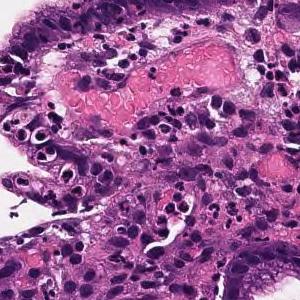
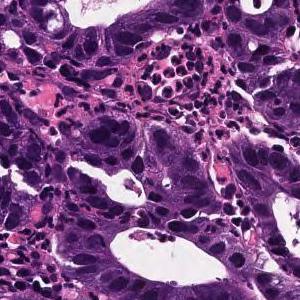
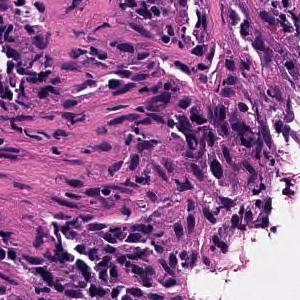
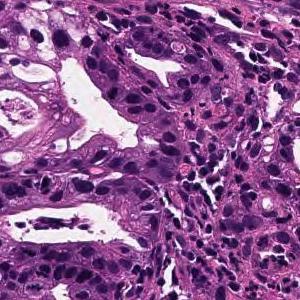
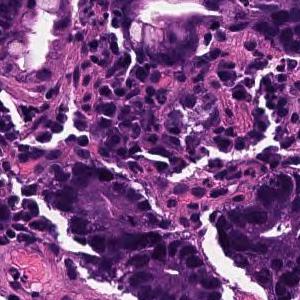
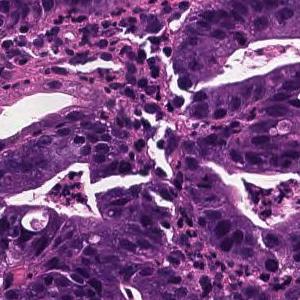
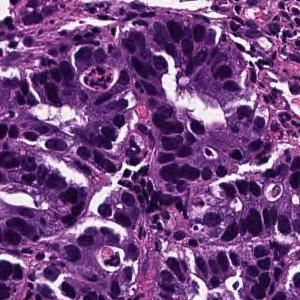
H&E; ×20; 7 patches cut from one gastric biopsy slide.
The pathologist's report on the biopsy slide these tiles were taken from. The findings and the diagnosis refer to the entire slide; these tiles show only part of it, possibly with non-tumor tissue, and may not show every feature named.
From the superficial epithelium to the muscularis mucosae, tumor tissue consisting of medium-sized and irregular glandular ducts infiltrating is observed. Well differentiated tubular adenocarcinoma
